4 image tiles from a single gastric biopsy slide, H&E, 20× magnification.
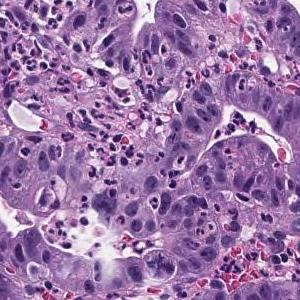
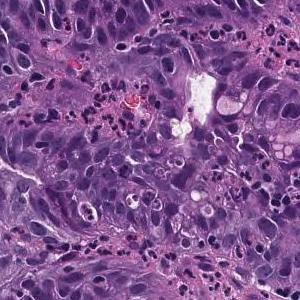
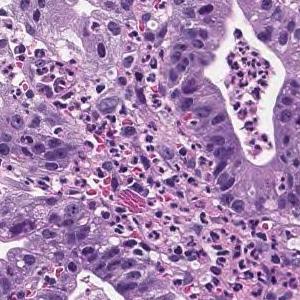
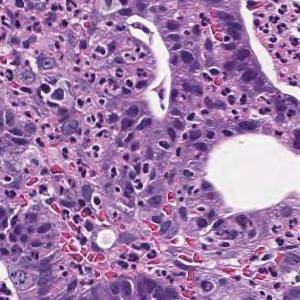
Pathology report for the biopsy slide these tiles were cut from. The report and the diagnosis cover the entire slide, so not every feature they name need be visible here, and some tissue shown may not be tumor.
In the superficial epithelium, tumor tissue that invades by forming medium-sized to small, irregular ducts is observed. Well differentiated tubular adenocarcinoma.
